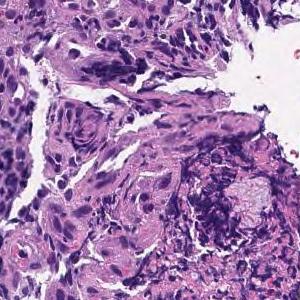
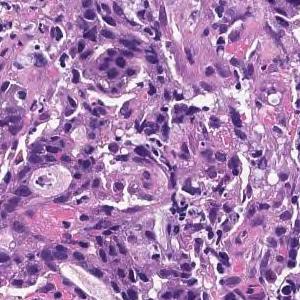
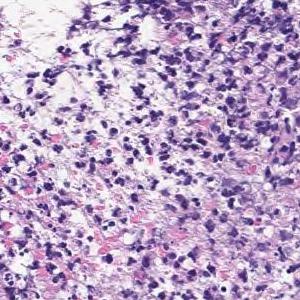
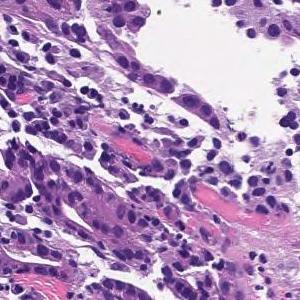
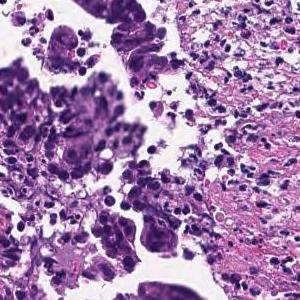
20× magnification · 5 tiles from the same stomach biopsy slide · 300 × 300 pixels each.
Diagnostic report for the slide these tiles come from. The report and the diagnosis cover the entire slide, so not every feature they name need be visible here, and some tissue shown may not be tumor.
On the superficial epithelium, tumor tissue consisting of large irregular glandular ducts partially fused and infiltrated is observed. Well to moderately differentiated tubular adenocarcinoma (well differentiated tubular adenocarcinoma, moderately differentiated tubular adenocarcinoma)
Tumor subtype: well to moderately differentiated tubular adenocarcinoma.
